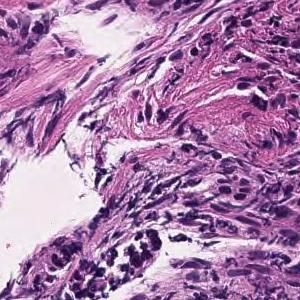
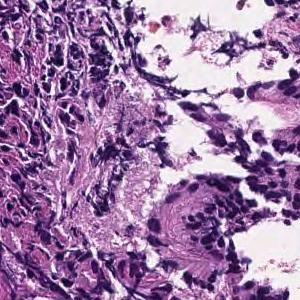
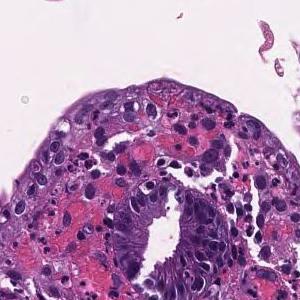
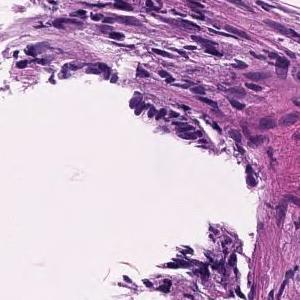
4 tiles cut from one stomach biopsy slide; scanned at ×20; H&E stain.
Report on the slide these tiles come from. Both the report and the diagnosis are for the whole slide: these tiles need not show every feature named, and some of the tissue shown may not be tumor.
On the superficial epithelium, tumor tissue consisting of large, irregular glandular ducts partially fused and infiltrated is observed. Well to moderately differentiated tubular adenocarcinoma (well differentiated tubular adenocarcinoma, moderately differentiated tubular adenocarcinoma)
Histological subtype: Well to moderately differentiated tubular adenocarcinoma.
